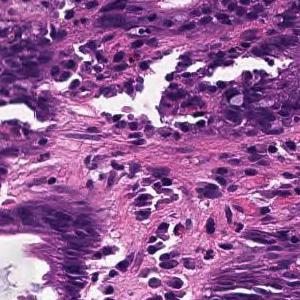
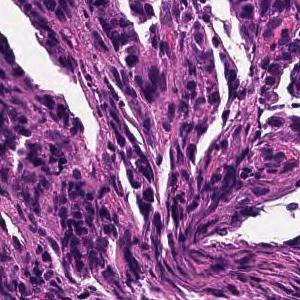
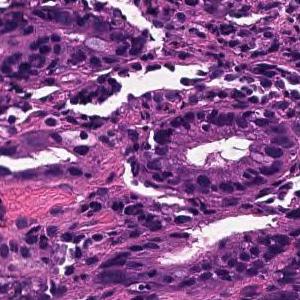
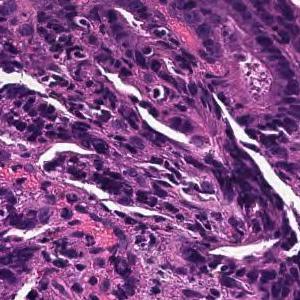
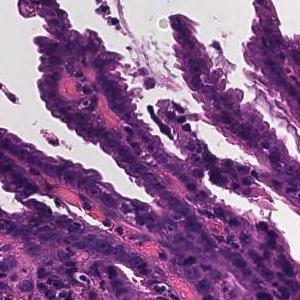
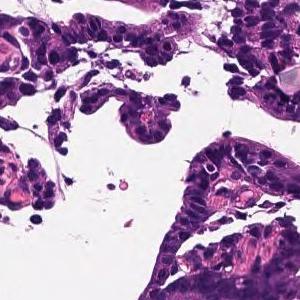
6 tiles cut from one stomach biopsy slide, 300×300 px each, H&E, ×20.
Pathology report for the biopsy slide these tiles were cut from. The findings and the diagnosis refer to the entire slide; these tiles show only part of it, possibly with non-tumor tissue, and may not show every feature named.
Medium to small, irregular glandular ducts are formed in the superficial epithelium, and some tumor tissues show small cords and infiltrate. moderately differentiated tubular adenocarcinoma or Poorly differentiated adenocarcinoma, non-solid type
Labeled in the dataset as moderately differentiated tubular adenocarcinoma.
The non-solid type named here is a Japanese Classification of Gastric Carcinoma category.
